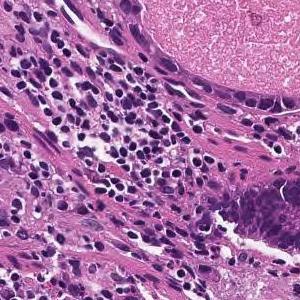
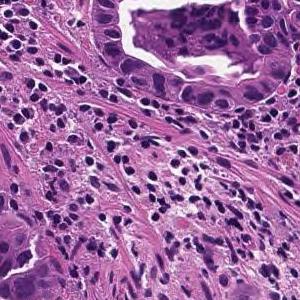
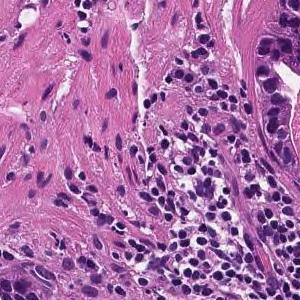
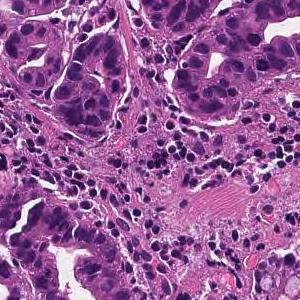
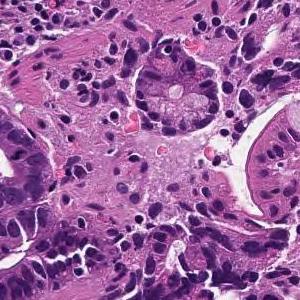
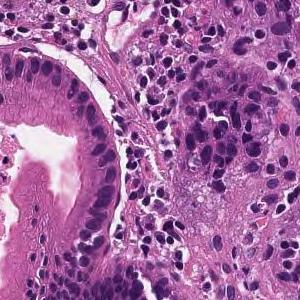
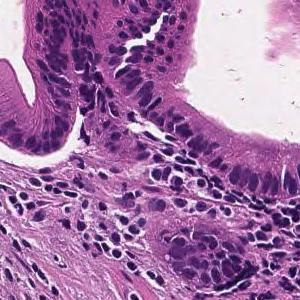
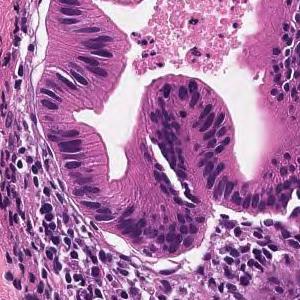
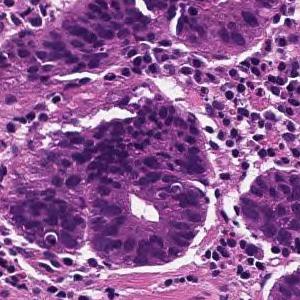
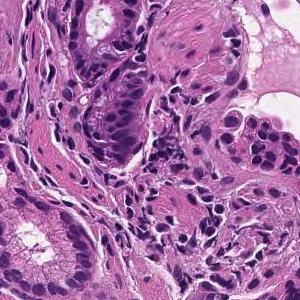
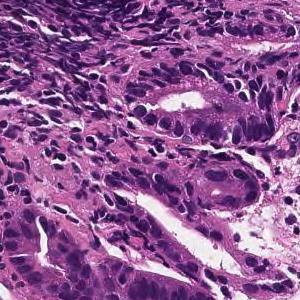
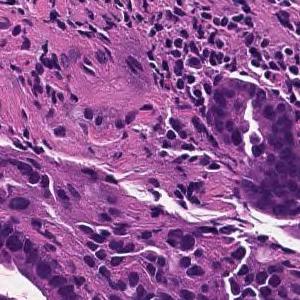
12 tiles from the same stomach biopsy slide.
The pathologist's report on the biopsy slide these tiles were taken from. The report describes the whole slide, diagnosis included: not every finding it names need appear in these tiles, which may also show non-tumor tissue.
From the superficial epithelium to the muscularis mucosae, tumor tissue consisting of medium-sized and irregular glandular ducts infiltrating is observed. Well differentiated tubular adenocarcinoma
